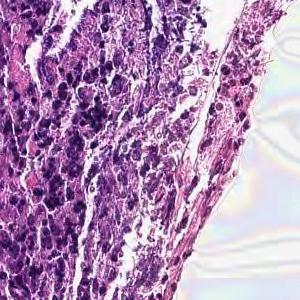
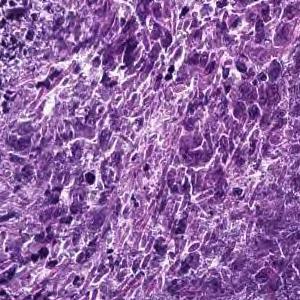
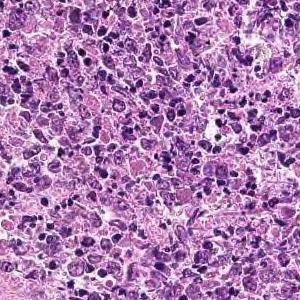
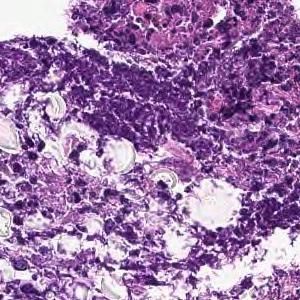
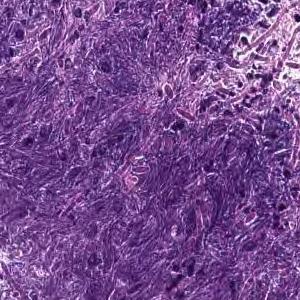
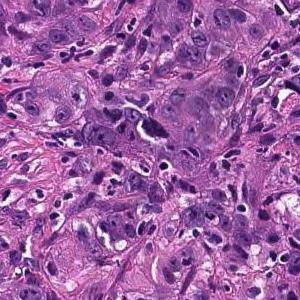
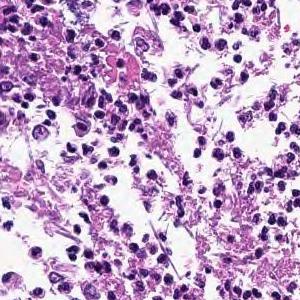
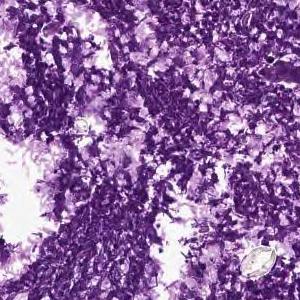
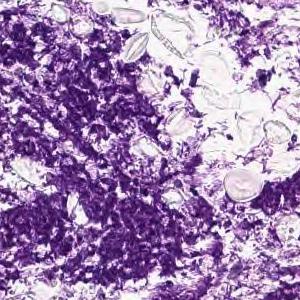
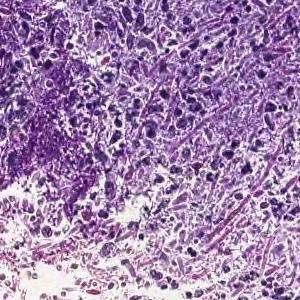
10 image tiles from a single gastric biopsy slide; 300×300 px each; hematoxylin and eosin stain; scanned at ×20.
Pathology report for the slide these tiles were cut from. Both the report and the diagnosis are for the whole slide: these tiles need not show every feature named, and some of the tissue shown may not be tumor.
Cancers with polygonal nuclei do not show glandular formation and are densely, in part, cord-like and proliferate. Poorly differentiated adenocarcinoma
Subtype: Poorly differentiated adenocarcinoma, non-solid type.
The term "non-solid type" comes from the Japanese Classification of Gastric Carcinoma.
